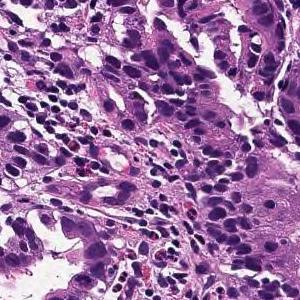
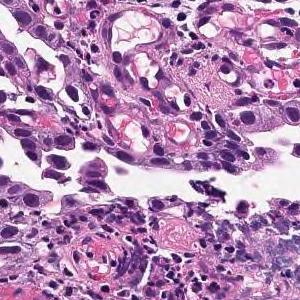
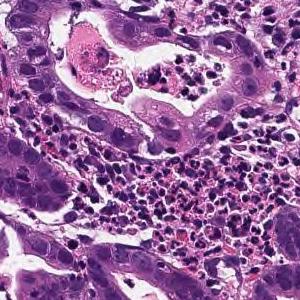
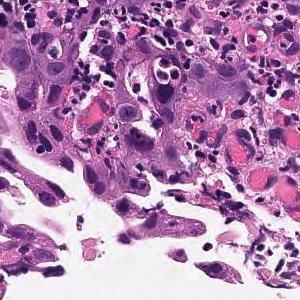
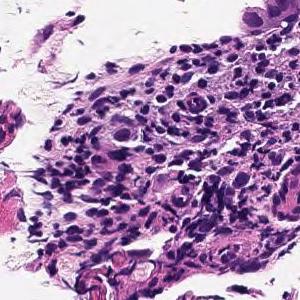
H&E · ×20 · 5 tiles from the same stomach biopsy slide · 300×300 px each.
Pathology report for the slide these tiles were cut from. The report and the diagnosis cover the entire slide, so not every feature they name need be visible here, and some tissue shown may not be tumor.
In the superficial epithelium, tumor tissue that invades by forming medium-sized to small, irregular ducts is observed. moderately differentiated tubular adenocarcinoma.
